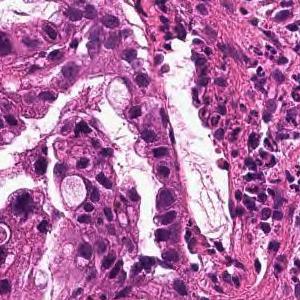
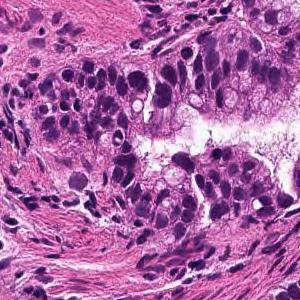
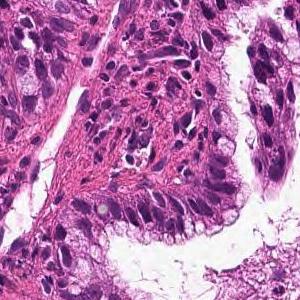
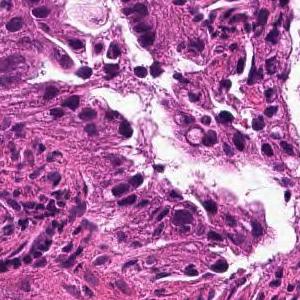
H&E stain, 4 image tiles from a single gastric biopsy slide.
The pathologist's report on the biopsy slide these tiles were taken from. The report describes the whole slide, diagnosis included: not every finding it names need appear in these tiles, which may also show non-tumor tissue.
From the superficial epithelium to the muscularis mucosae, tumor tissue infiltrating by forming medium-sized irregular gland ducts is observed. Well differentiated tubular adenocarcinoma
